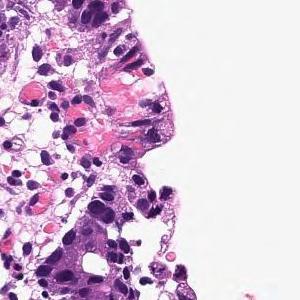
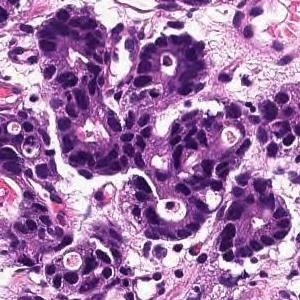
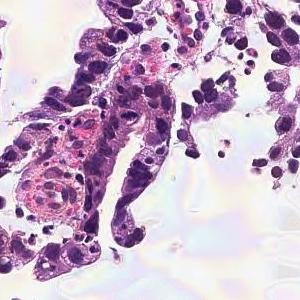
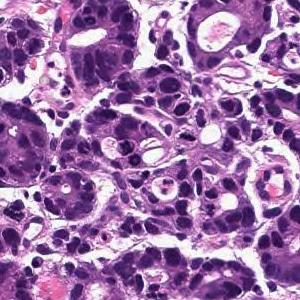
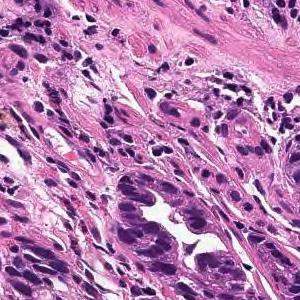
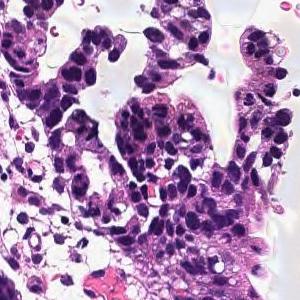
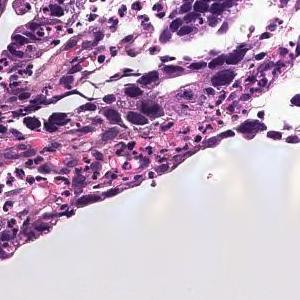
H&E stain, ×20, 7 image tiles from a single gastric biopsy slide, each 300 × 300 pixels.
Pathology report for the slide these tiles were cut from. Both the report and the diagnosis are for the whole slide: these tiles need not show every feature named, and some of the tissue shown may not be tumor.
In the superficial epithelium, tumor tissue that invades by forming medium-sized to small, irregular ducts is observed. moderately differentiated tubular adenocarcinoma.
